5 tiles cut from one stomach biopsy slide, 300 × 300 pixels each, H&E stain.
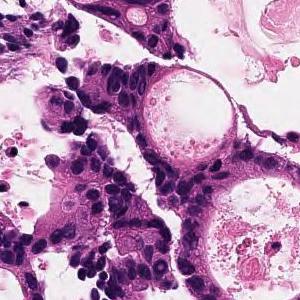
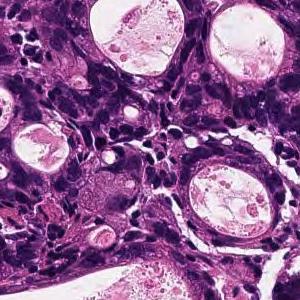
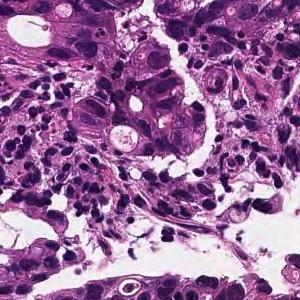
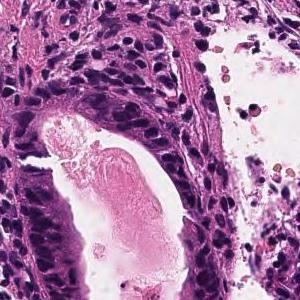
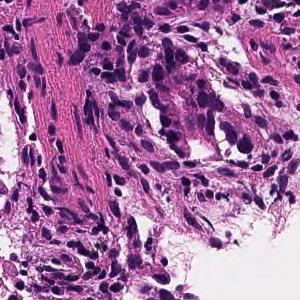
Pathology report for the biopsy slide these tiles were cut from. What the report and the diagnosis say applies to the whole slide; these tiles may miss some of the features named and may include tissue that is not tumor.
In the superficial epithelium, tumor tissue that invades by forming medium-sized to small, irregular ducts is observed. moderately differentiated tubular adenocarcinoma.
